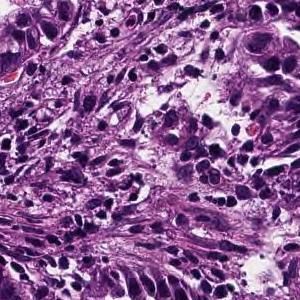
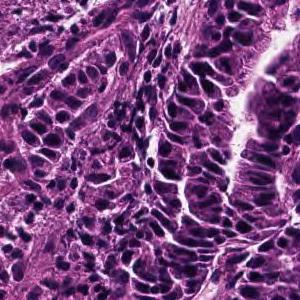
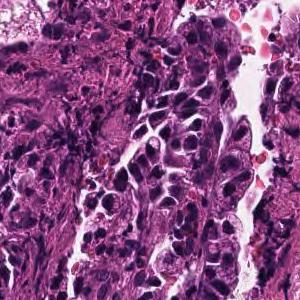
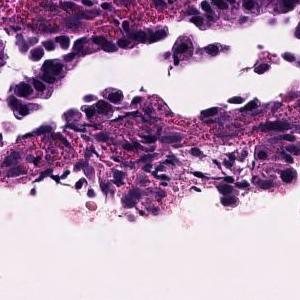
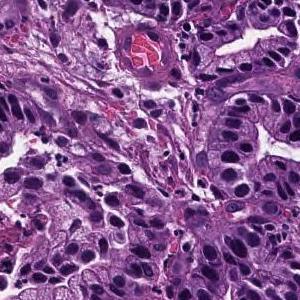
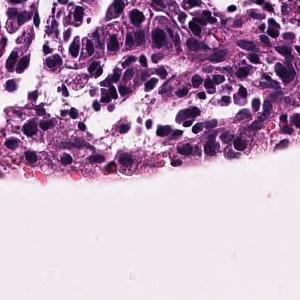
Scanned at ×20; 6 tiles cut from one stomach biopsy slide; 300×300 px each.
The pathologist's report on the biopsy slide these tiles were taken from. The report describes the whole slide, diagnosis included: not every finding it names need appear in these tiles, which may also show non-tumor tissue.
Tumor cells are large, highly columnar, large club-shaped nuclei, and are associated with chromatin aggregation. Papillary adenocarcinoma.
